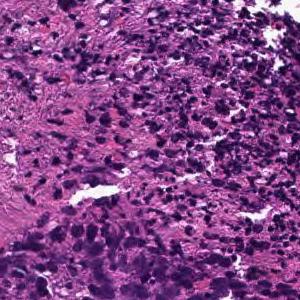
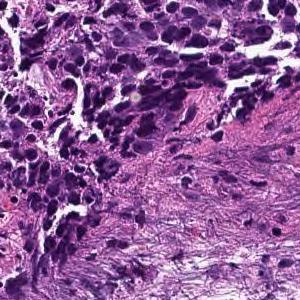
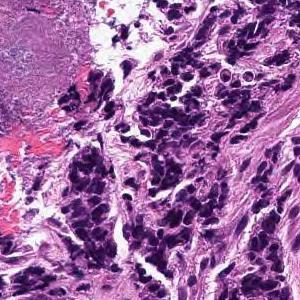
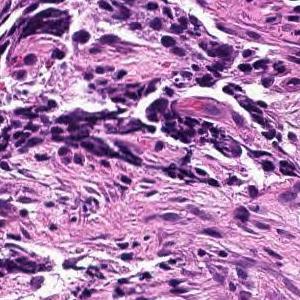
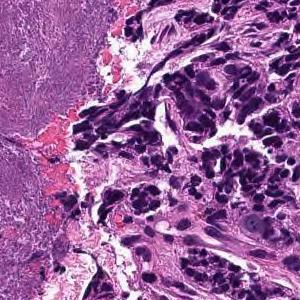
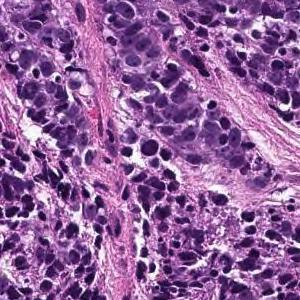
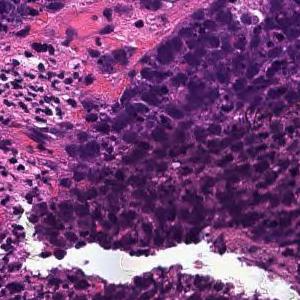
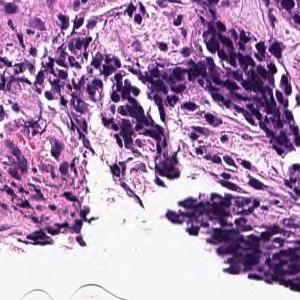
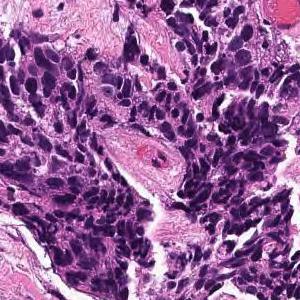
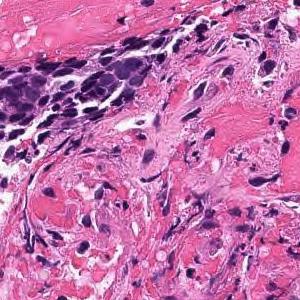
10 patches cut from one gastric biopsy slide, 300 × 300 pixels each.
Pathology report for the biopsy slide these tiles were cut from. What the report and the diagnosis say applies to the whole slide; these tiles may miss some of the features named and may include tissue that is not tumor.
The superficial epithelium shows a large sheet or alveolar shape, and tumor tissue infiltrating without irregular ducts is observed. Poorly differentiated adenocarcinoma, solid-type
Histological subtype: Poorly differentiated adenocarcinoma, solid type, a category of the Japanese Classification of Gastric Carcinoma; in the WHO 2019 classification it is tubular adenocarcinoma, poorly differentiated.
